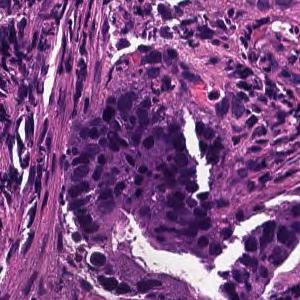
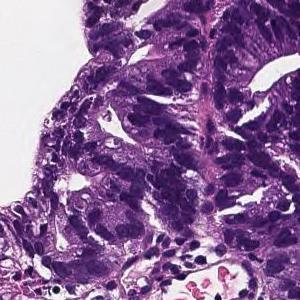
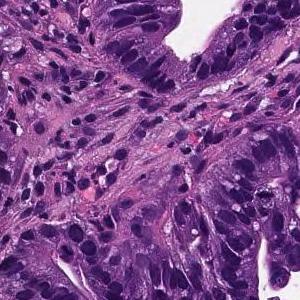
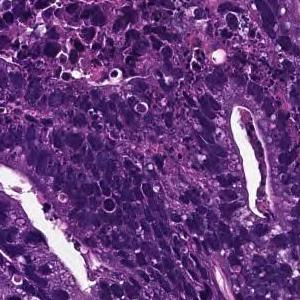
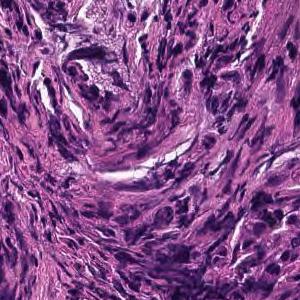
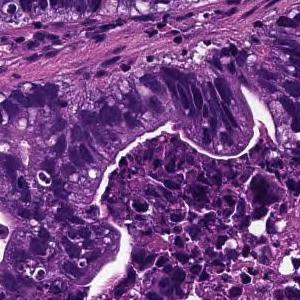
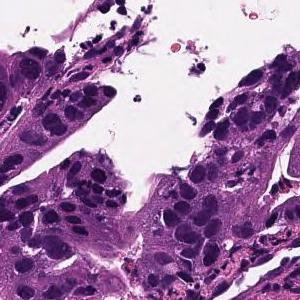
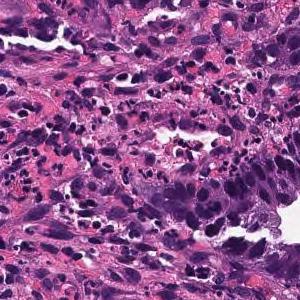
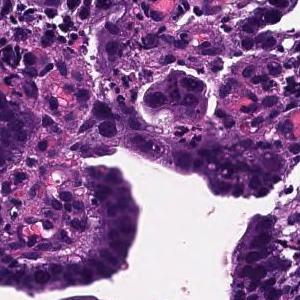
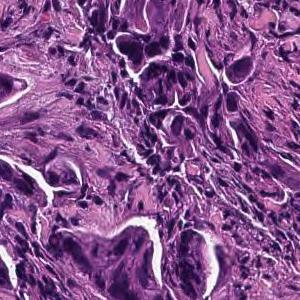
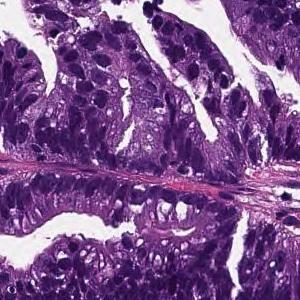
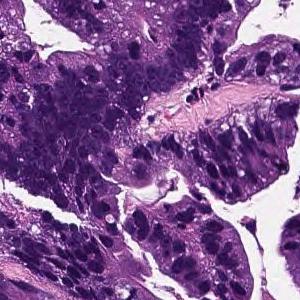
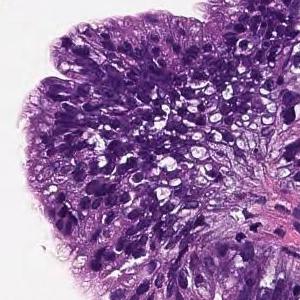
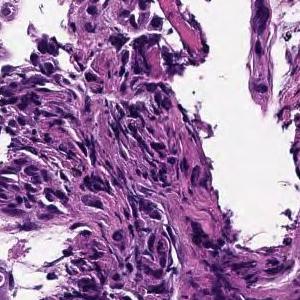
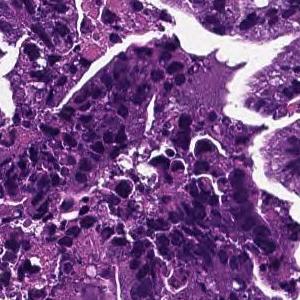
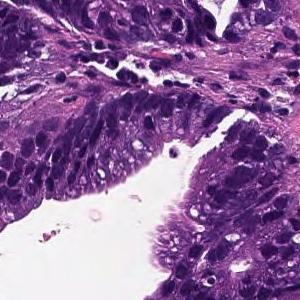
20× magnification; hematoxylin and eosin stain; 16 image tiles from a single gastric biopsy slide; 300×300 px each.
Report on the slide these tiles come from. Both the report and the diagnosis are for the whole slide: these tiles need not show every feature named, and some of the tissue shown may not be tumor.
Tumor cells are large, highly columnar, large club-shaped nuclei, and are associated with chromatin aggregation. Papillary adenocarcinoma.
